19 patches cut from one gastric biopsy slide · 300×300 px each · H&E stain · 20× magnification.
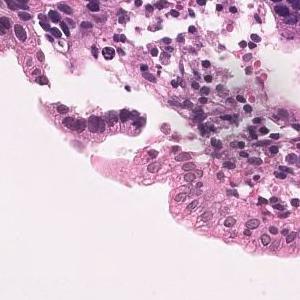
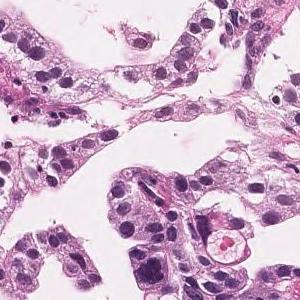
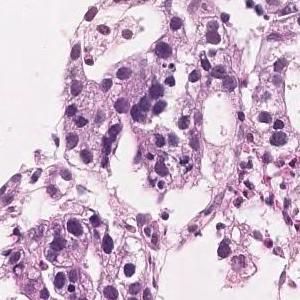
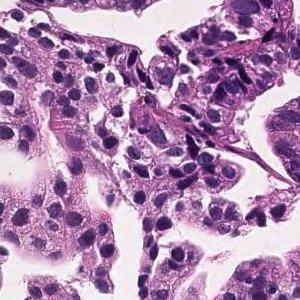
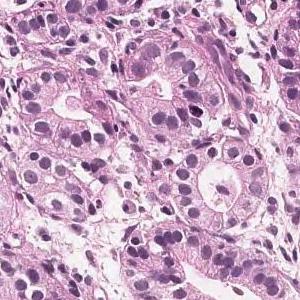
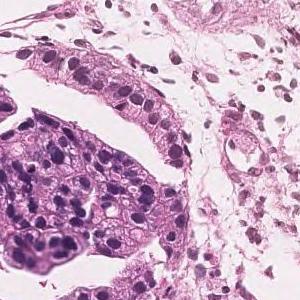
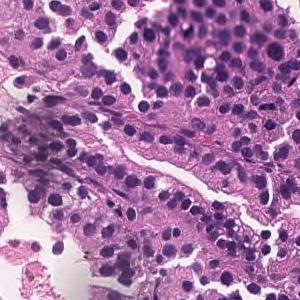
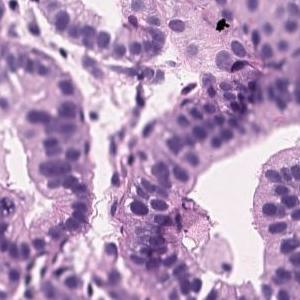
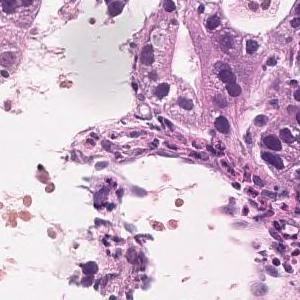
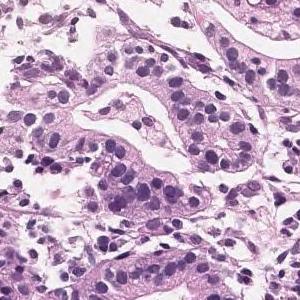
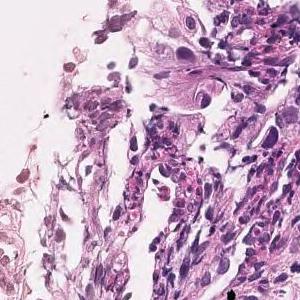
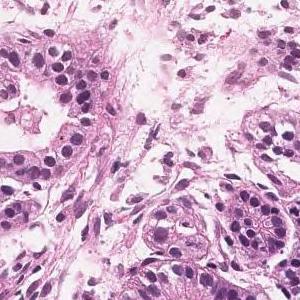
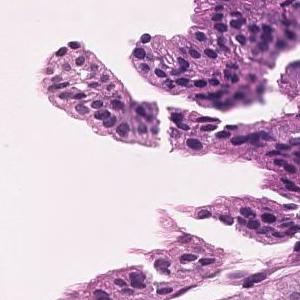
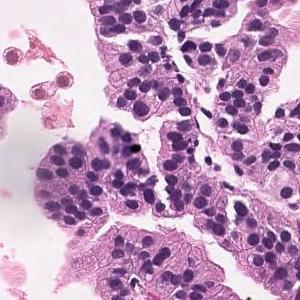
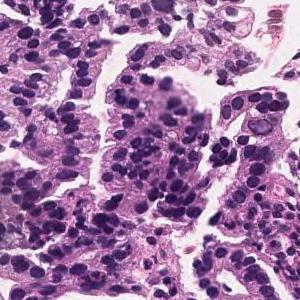
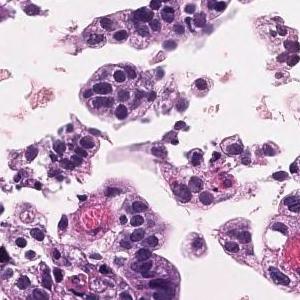
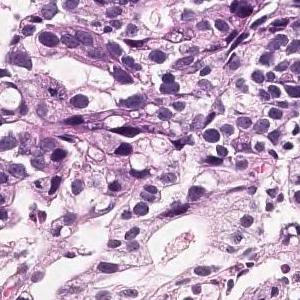
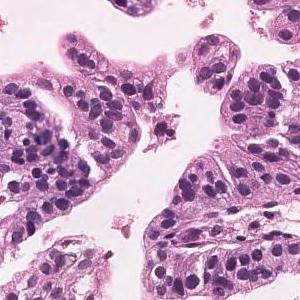
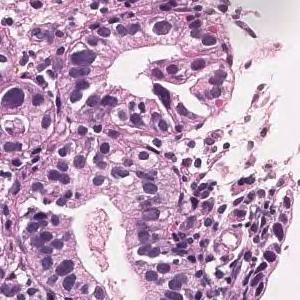
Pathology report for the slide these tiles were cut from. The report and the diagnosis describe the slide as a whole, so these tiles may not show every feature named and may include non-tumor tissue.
In the superficial epithelium, tumor tissue that invades by forming medium-sized to small, irregular ducts is observed. moderately differentiated tubular adenocarcinoma.
